4 patches cut from one gastric biopsy slide · hematoxylin and eosin stain.
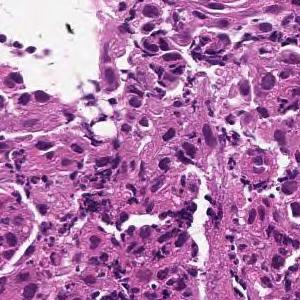
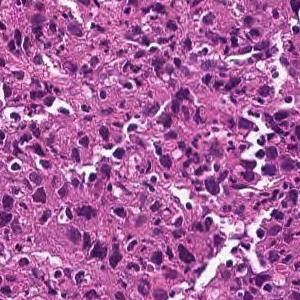
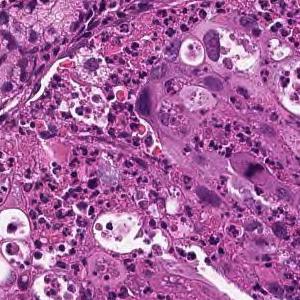
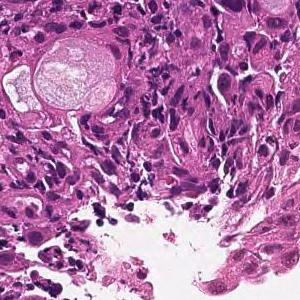
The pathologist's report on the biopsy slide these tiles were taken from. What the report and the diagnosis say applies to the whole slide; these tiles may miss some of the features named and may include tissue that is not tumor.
The superficial epithelium shows a large sheet-like shape, and some tumor tissue infiltrates with small irregular ducts. Poorly differentiated adenocarcinoma, solid-type
Tumor subtype: poorly differentiated adenocarcinoma, solid type, a category of the Japanese Classification of Gastric Carcinoma; in the WHO 2019 classification it is tubular adenocarcinoma, poorly differentiated.
